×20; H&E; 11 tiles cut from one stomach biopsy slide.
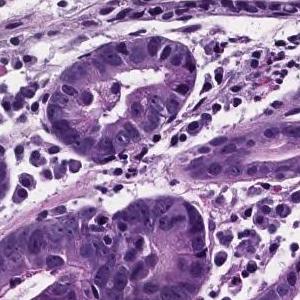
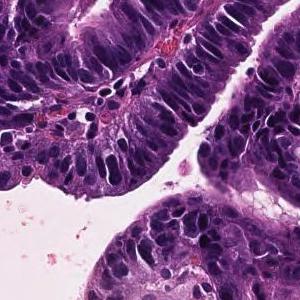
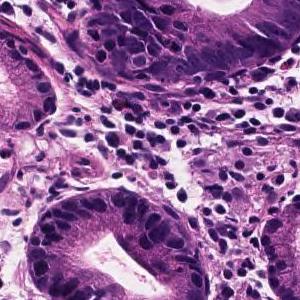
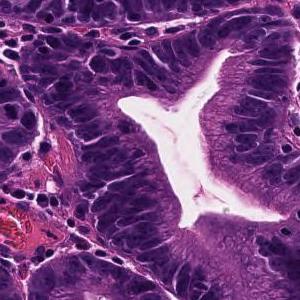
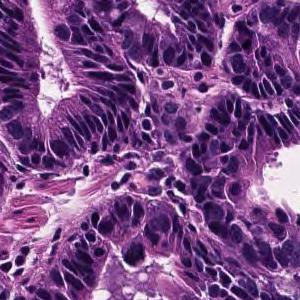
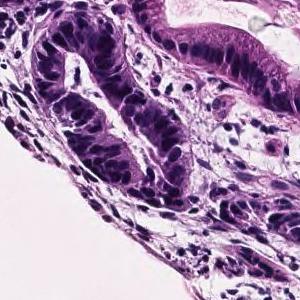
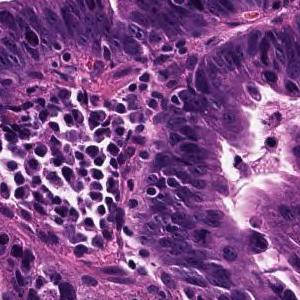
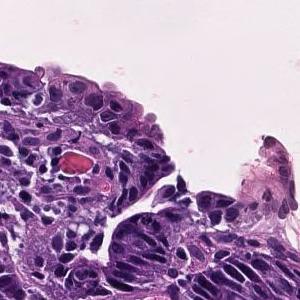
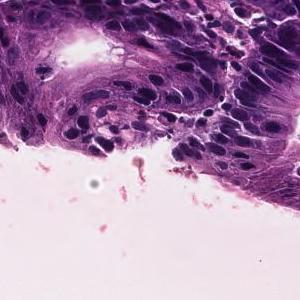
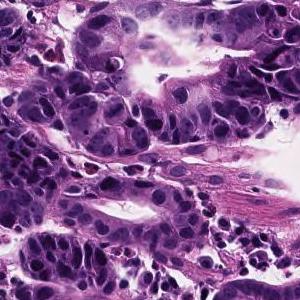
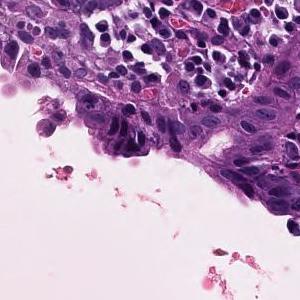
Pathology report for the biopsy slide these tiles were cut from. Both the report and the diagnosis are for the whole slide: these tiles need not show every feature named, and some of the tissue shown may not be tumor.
On the superficial epithelium, tumor tissue consisting of growth of medium-sized to large-sized, round or irregular glandular ducts is observed. Well differentiated tubular adenocarcinoma
